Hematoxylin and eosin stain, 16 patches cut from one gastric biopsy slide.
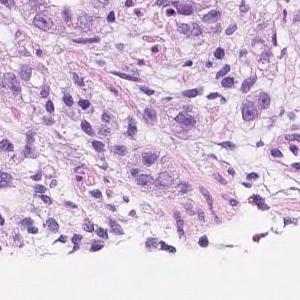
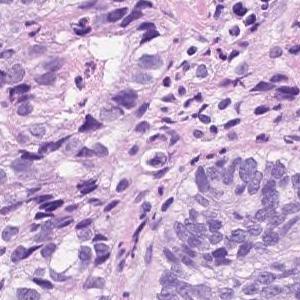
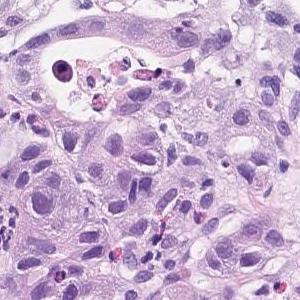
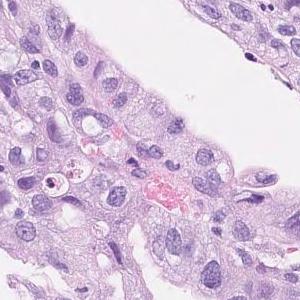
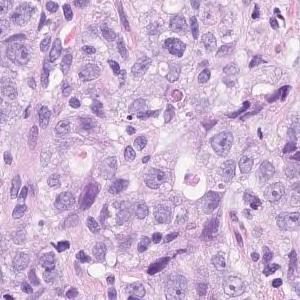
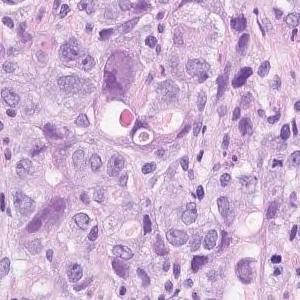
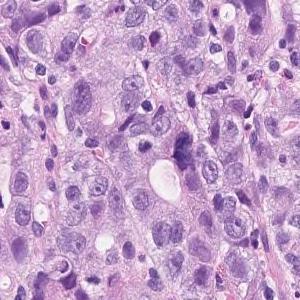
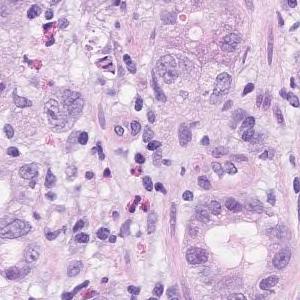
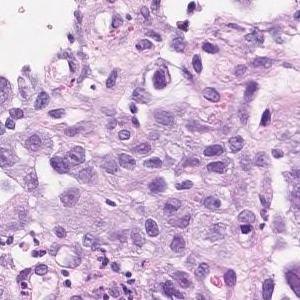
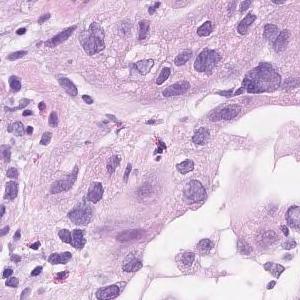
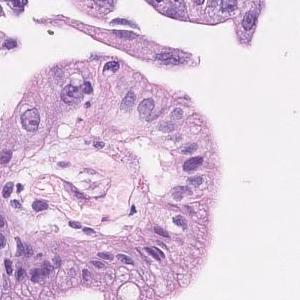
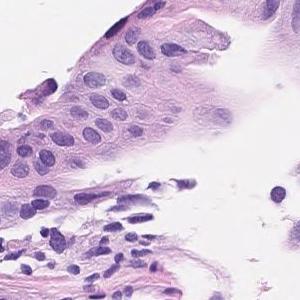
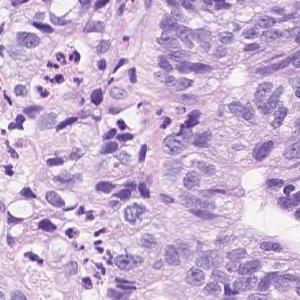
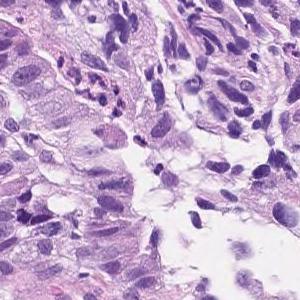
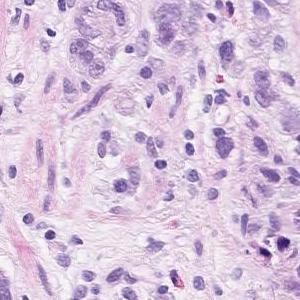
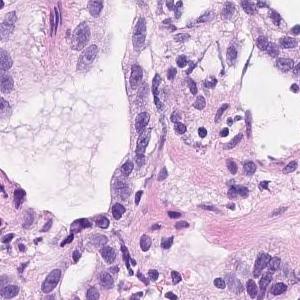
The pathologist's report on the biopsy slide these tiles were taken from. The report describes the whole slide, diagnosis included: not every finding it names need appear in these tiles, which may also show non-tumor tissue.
In the superficial epithelium, tumor tissue that invades by forming medium-sized to small, irregular ducts is observed. Moderately to poorly differentiated adenocarcinoma
